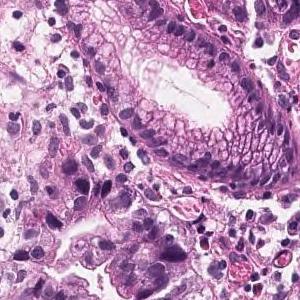
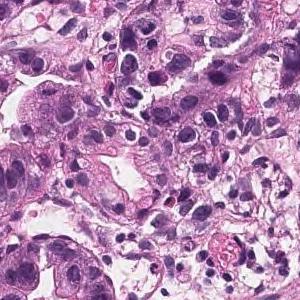
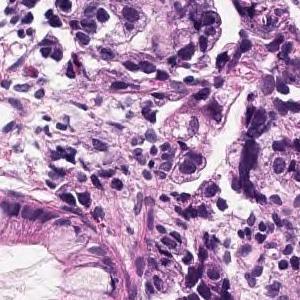
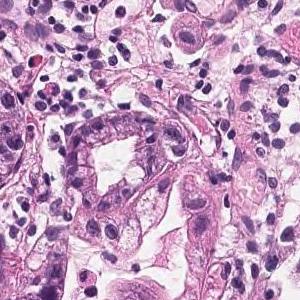
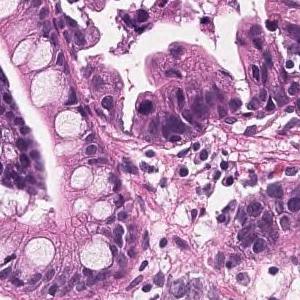
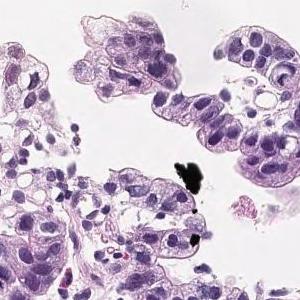
6 image tiles from a single gastric biopsy slide; 300 × 300 pixels each; 20× magnification; H&E stain.
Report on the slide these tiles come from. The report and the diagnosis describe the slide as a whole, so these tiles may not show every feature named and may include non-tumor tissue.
Atypical epithelium showing nuclear enlargement builds irregular ducts and grows densely. moderately differentiated tubular adenocarcinoma
